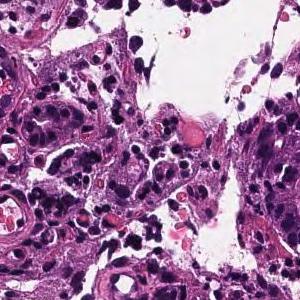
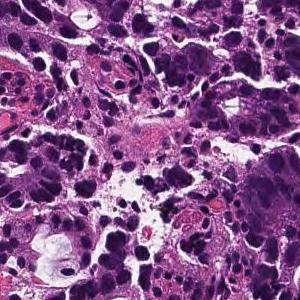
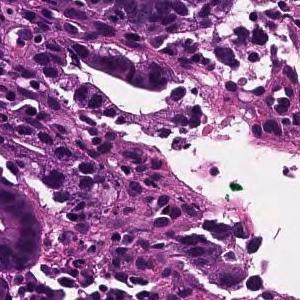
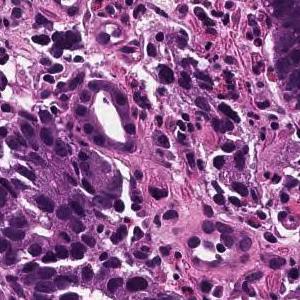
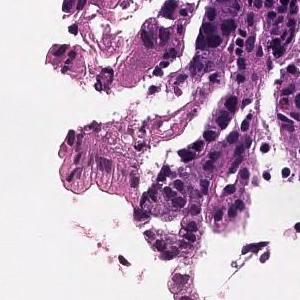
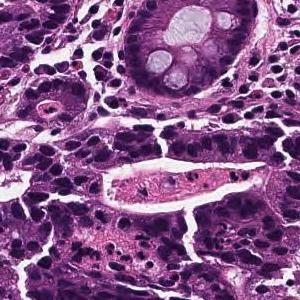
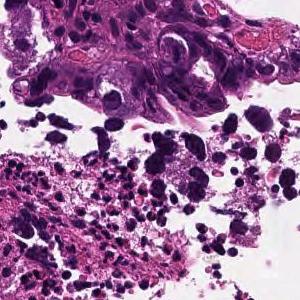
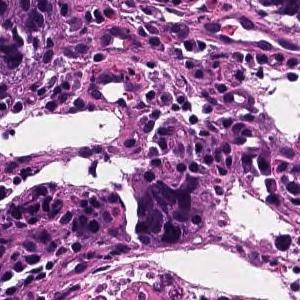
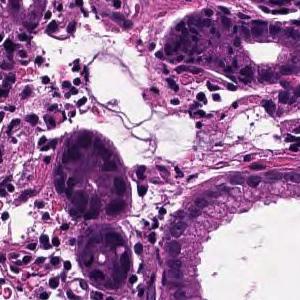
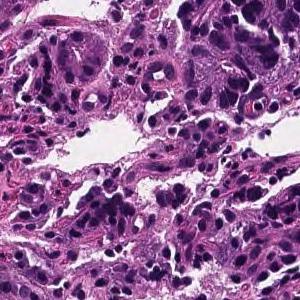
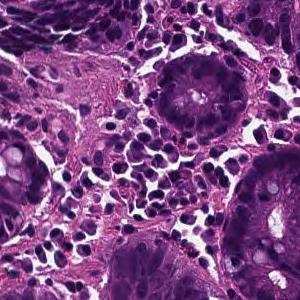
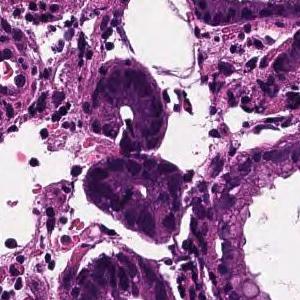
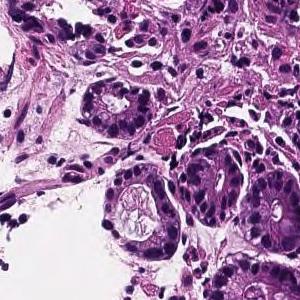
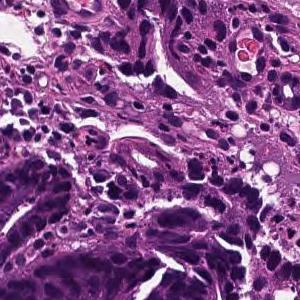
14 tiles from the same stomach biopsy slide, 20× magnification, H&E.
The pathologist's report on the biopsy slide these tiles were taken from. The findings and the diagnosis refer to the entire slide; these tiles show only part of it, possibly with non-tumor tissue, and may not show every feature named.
In the superficial epithelium, tumor tissue that invades by forming medium-sized to small, irregular ducts is observed. moderately differentiated tubular adenocarcinoma.
